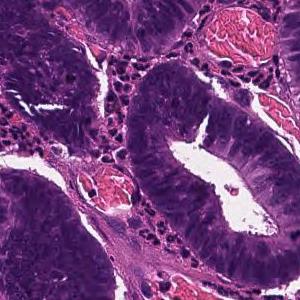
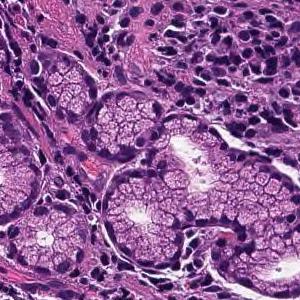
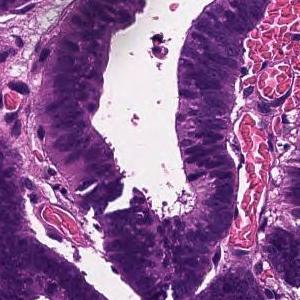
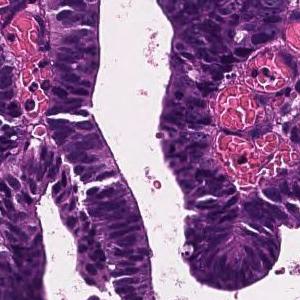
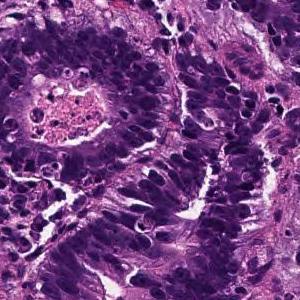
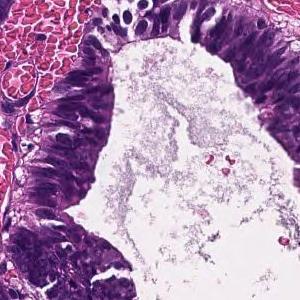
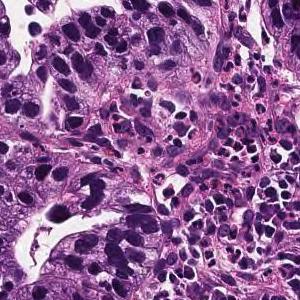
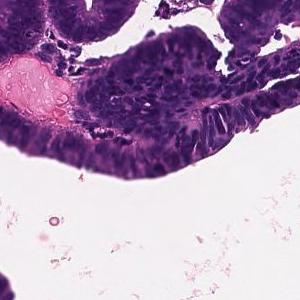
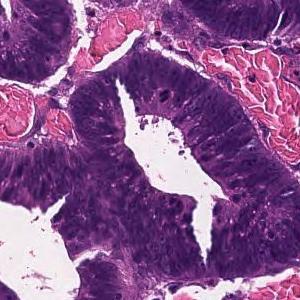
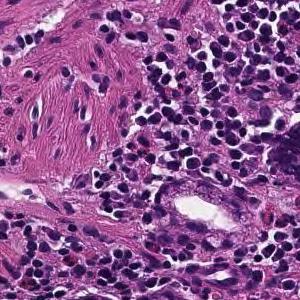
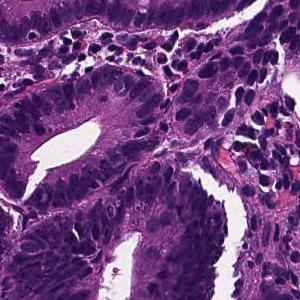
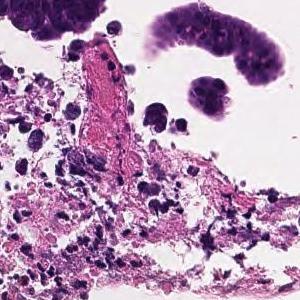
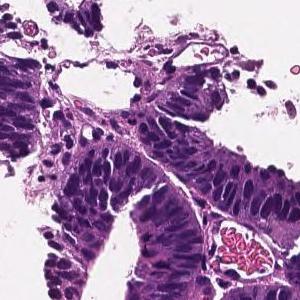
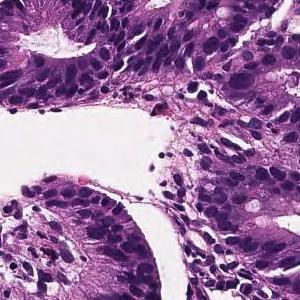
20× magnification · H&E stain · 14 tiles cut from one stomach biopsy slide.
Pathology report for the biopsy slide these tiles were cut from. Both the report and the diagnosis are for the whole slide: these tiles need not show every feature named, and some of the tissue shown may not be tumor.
Tumor tissue consisting of large papillary structures is found in the superficial epithelium. Papillary adenocarcinoma.
